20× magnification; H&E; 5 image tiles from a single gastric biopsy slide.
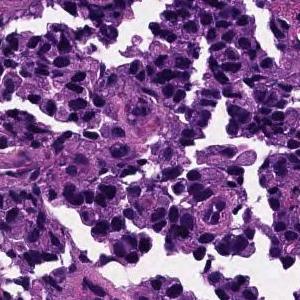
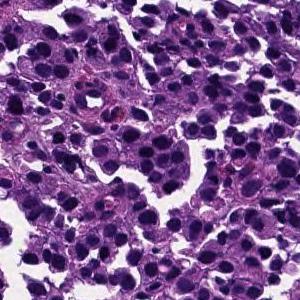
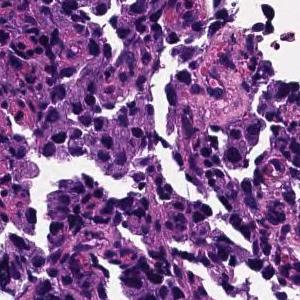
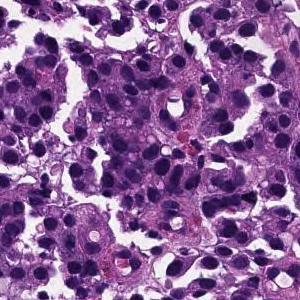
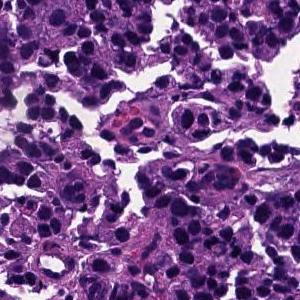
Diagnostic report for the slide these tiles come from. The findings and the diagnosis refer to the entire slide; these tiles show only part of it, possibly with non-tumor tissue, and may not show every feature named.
The superficial epithelium shows a large alveolar shape and infiltrates tumor tissue. Poorly differentiated adenocarcinoma, solid-type
Tumor subtype: poorly differentiated adenocarcinoma, solid type (Japanese Classification of Gastric Carcinoma). The WHO 2019 equivalent is tubular adenocarcinoma, poorly differentiated.
